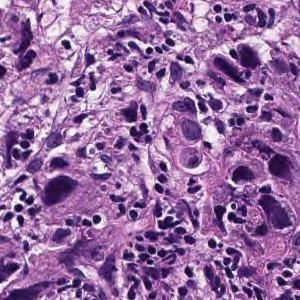
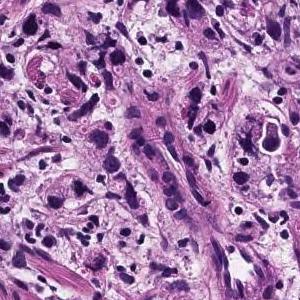
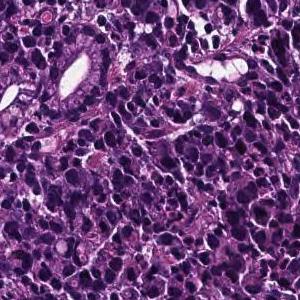
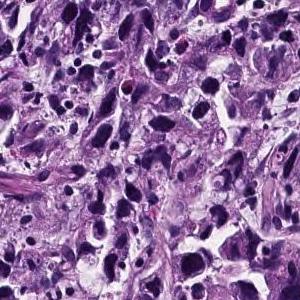
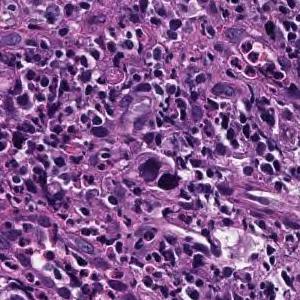
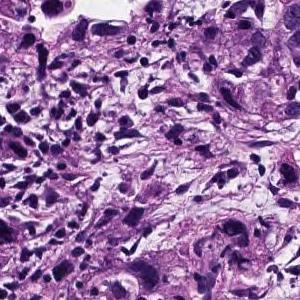
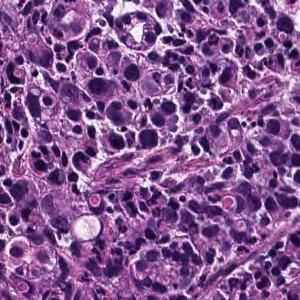
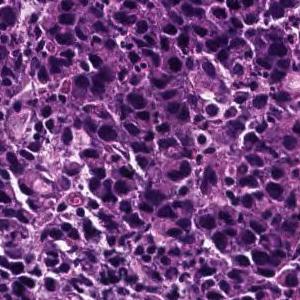
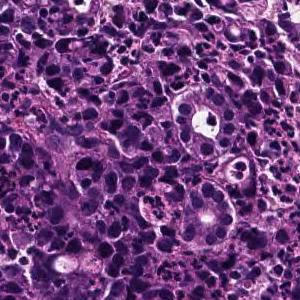
9 tiles cut from one stomach biopsy slide; each 300 × 300 pixels; H&E stain; ×20.
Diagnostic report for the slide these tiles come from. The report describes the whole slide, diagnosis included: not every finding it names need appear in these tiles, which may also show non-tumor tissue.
The superficial epithelium shows a large sheet-like shape, and some tumor tissue infiltrates with small irregular ducts. Poorly differentiated adenocarcinoma, solid-type
Classified as poorly differentiated adenocarcinoma, solid type. This name comes from the Japanese Classification of Gastric Carcinoma; the WHO 2019 classification calls it tubular adenocarcinoma, poorly differentiated.
